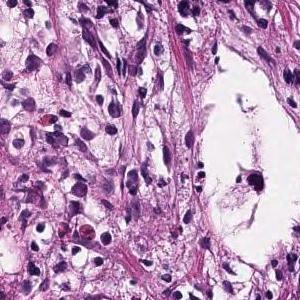
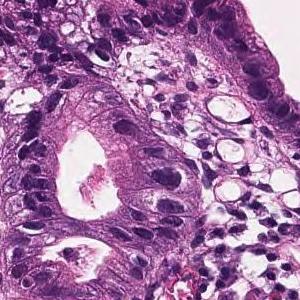
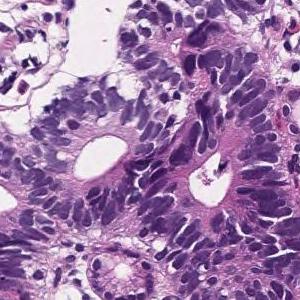
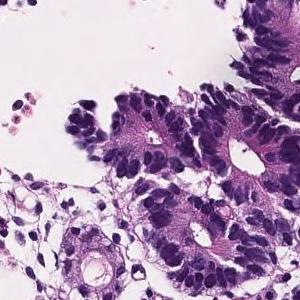
Scanned at ×20, H&E stain, 4 tiles from the same stomach biopsy slide, 300 × 300 pixels each.
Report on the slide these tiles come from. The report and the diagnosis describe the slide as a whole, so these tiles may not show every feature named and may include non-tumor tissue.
On the superficial epithelium, tumor tissue consisting of large, irregular glandular ducts partially fused and infiltrated is observed. Well to moderately differentiated tubular adenocarcinoma (well differentiated tubular adenocarcinoma, moderately differentiated tubular adenocarcinoma)
Tumor subtype: well to moderately differentiated tubular adenocarcinoma.
